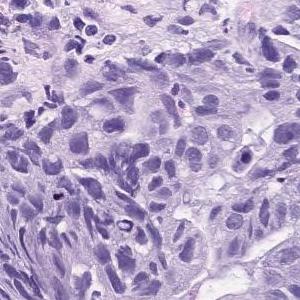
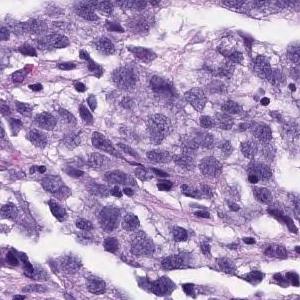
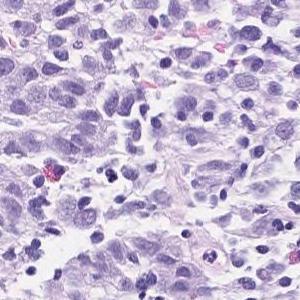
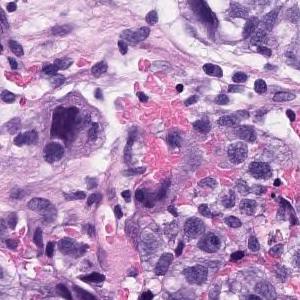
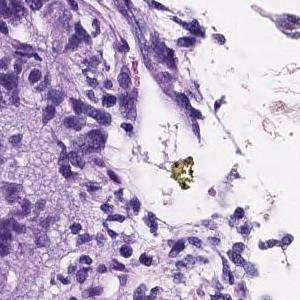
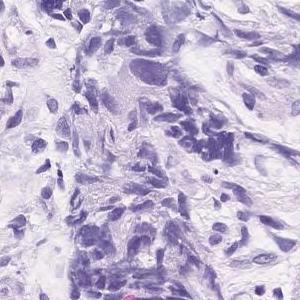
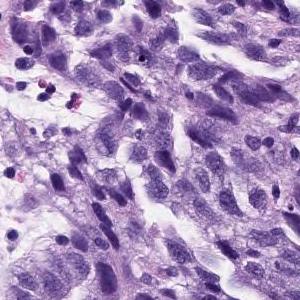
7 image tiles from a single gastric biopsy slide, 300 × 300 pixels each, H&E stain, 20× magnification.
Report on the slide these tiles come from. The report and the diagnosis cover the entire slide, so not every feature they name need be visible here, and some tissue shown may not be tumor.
Atypical epithelial cells with an increased N/C ratio proliferate and consist of a part that shows the formation of gland ducts and a part that shows solid growth. Poorly differentiated adenocarcinoma, solid-type
Classified as poorly differentiated adenocarcinoma, solid type (Japanese Classification of Gastric Carcinoma). The WHO 2019 equivalent is tubular adenocarcinoma, poorly differentiated.
